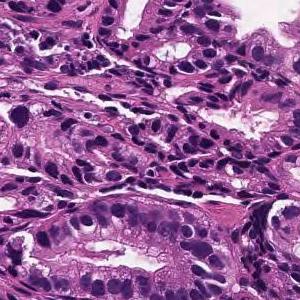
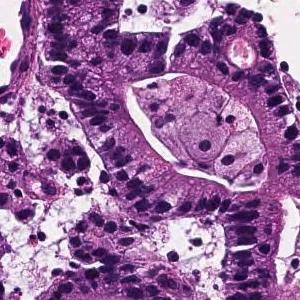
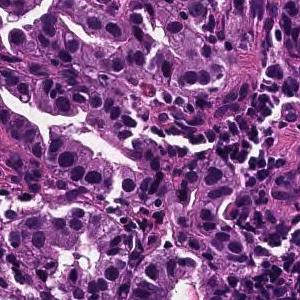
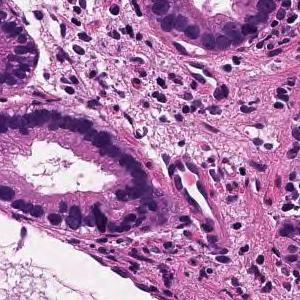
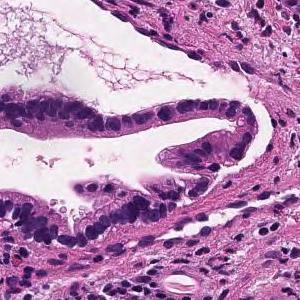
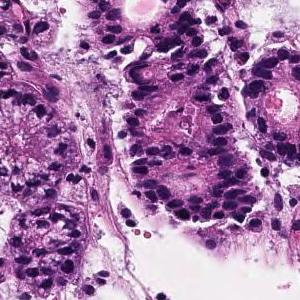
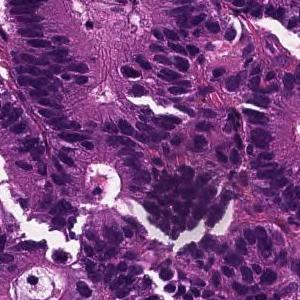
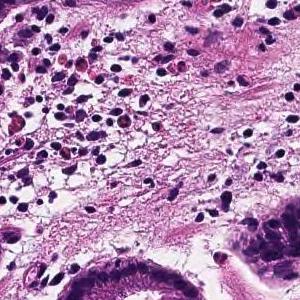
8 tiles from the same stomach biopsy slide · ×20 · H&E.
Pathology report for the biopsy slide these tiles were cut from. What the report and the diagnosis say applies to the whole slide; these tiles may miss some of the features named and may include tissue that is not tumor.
From the superficial epithelium to the muscularis mucosae, tumor tissue consisting of medium-sized and irregular glandular ducts infiltrating is observed. Well differentiated tubular adenocarcinoma
